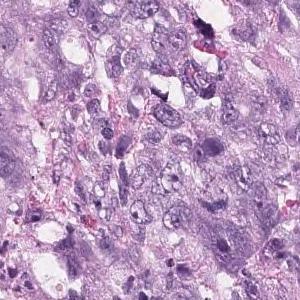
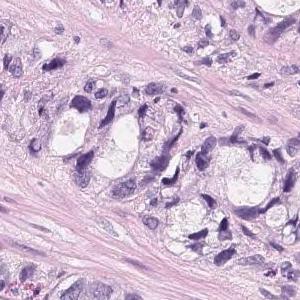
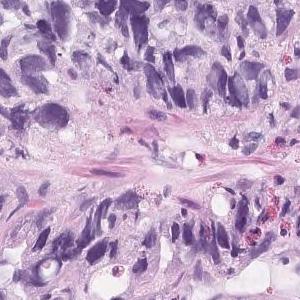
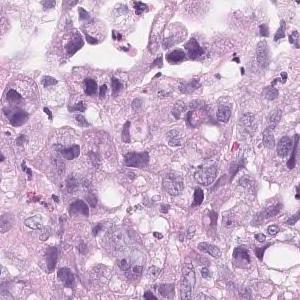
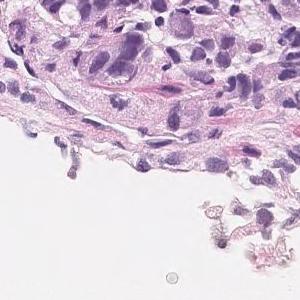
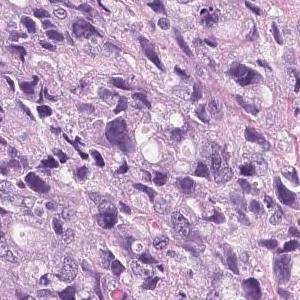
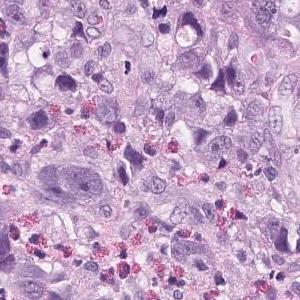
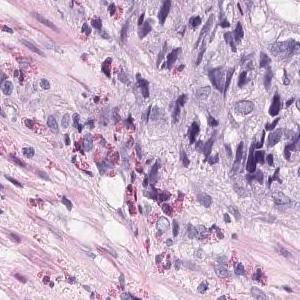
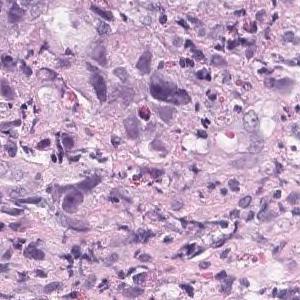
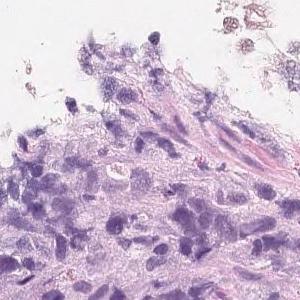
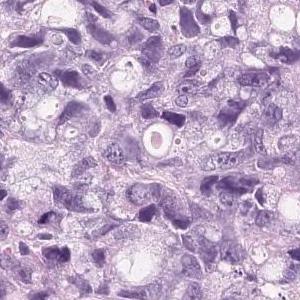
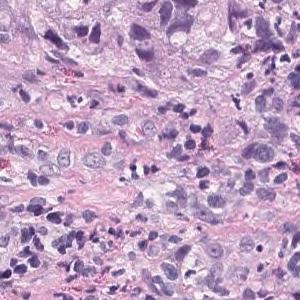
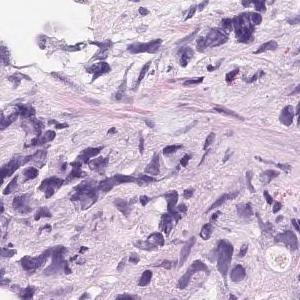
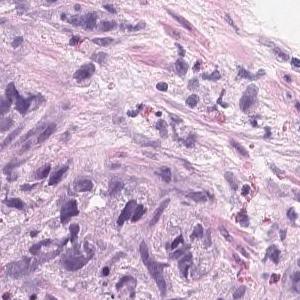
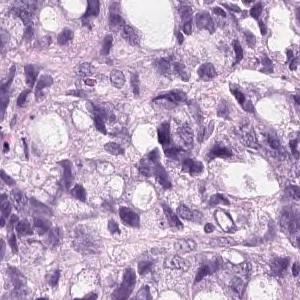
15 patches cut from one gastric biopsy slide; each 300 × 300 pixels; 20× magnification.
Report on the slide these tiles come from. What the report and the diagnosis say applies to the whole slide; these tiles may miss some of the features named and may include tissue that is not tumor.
Tumor tissue that infiltrates and proliferates by forming small glandular cavities in the superficial layer to the submucosa or forming a mass is observed. moderately differentiated tubular adenocarcinoma
